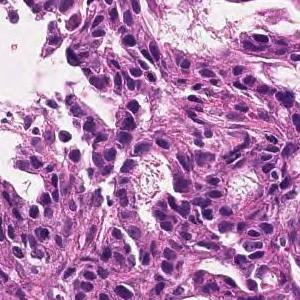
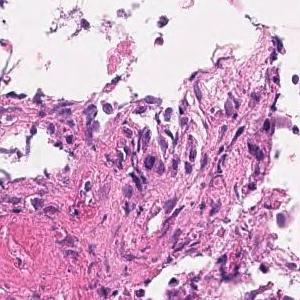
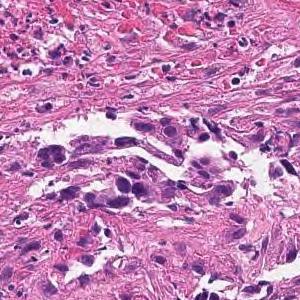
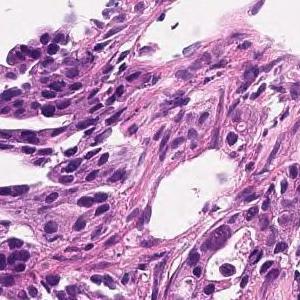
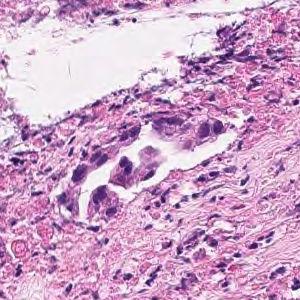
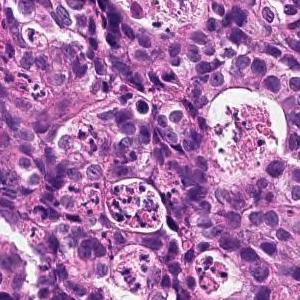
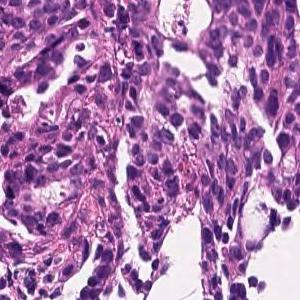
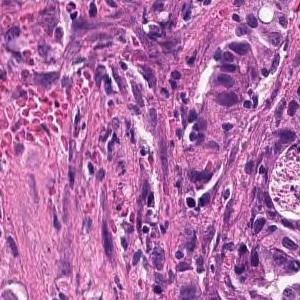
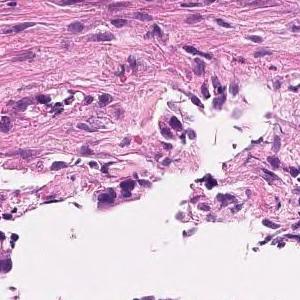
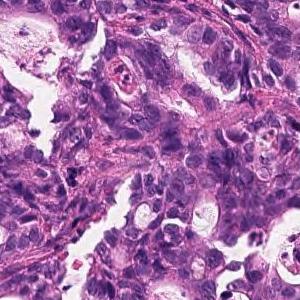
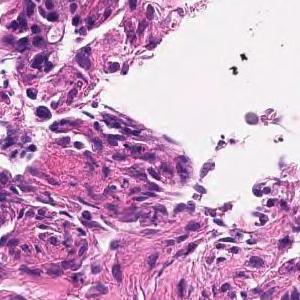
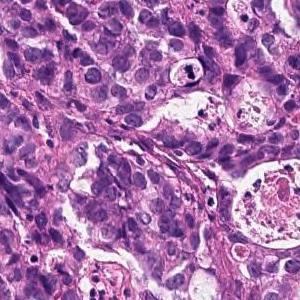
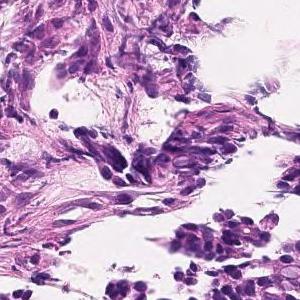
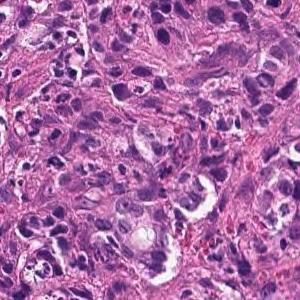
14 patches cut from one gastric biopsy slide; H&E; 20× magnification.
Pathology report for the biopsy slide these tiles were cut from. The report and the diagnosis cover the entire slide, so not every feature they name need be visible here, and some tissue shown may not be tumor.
On the superficial epithelium, tumor tissue consisting of images of small to medium-sized and irregular tubules infiltrating with irregular fusion is observed. moderately differentiated tubular adenocarcinoma
